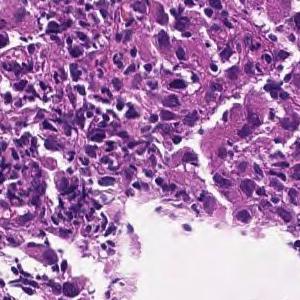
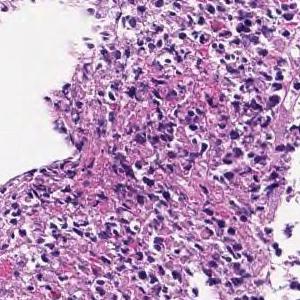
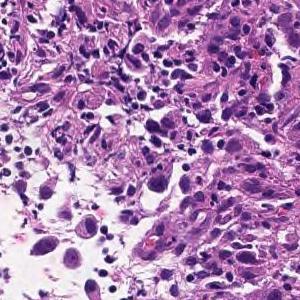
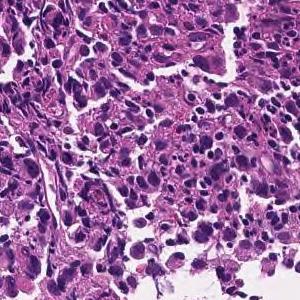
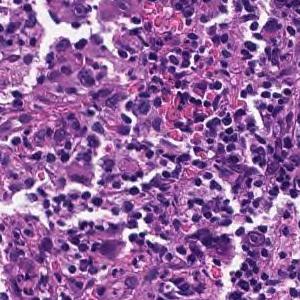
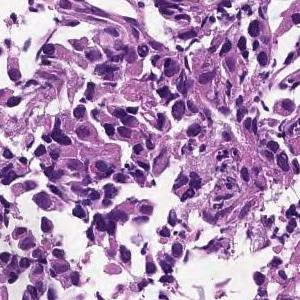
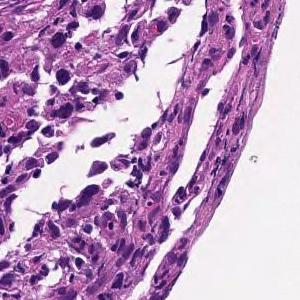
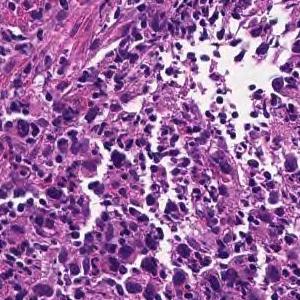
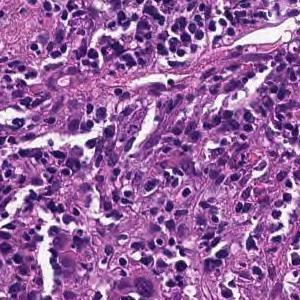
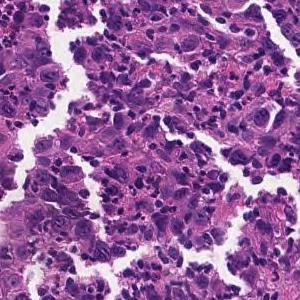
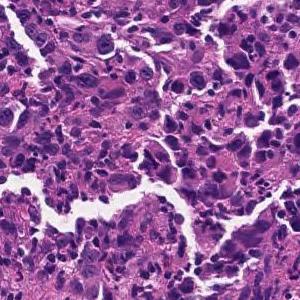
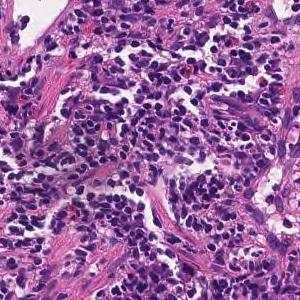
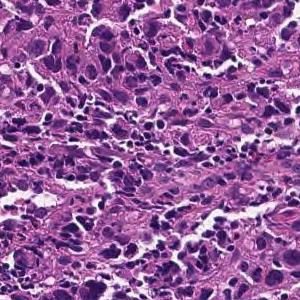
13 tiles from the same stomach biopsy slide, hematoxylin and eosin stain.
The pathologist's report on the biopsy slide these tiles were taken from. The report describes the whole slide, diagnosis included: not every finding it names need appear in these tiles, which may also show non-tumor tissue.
The superficial epithelium shows a large sheet-like shape, and some tumor tissue infiltrates with small irregular ducts. Poorly differentiated adenocarcinoma, solid-type (poorly differentiated adenocarcinoma, solid type)
Histologic type: Poorly differentiated adenocarcinoma, solid type. This name comes from the Japanese Classification of Gastric Carcinoma; the WHO 2019 classification calls it tubular adenocarcinoma, poorly differentiated.
